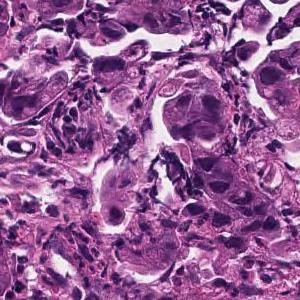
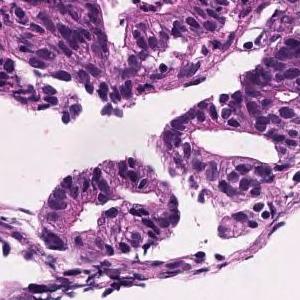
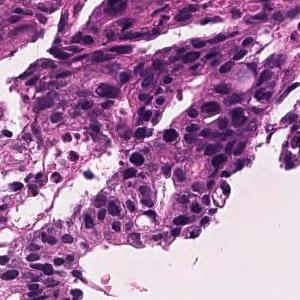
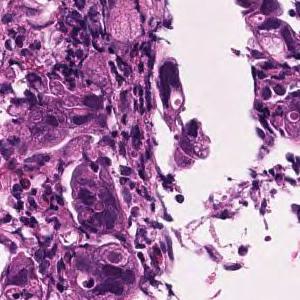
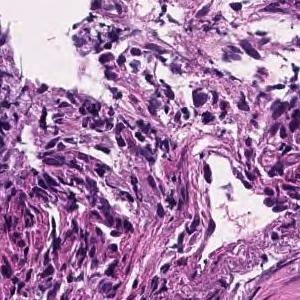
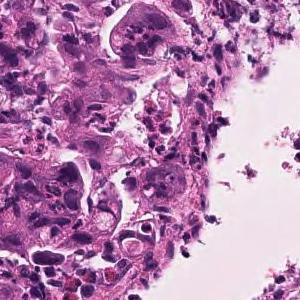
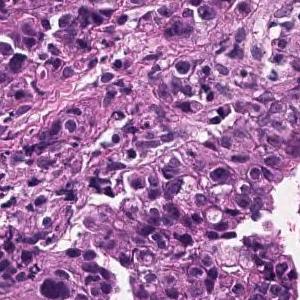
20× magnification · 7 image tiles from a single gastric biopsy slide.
Report on the slide these tiles come from. The findings and the diagnosis refer to the entire slide; these tiles show only part of it, possibly with non-tumor tissue, and may not show every feature named.
Tumor tissue consisting of medium-sized, cord-like or irregular glandular infiltration is observed in the superficial epithelium. Poorly differentiated adenocarcinoma, non-solid type or moderately differentiated tubular adenocarcinoma
The non-solid type named here is a Japanese Classification of Gastric Carcinoma category.
